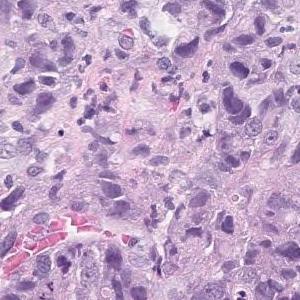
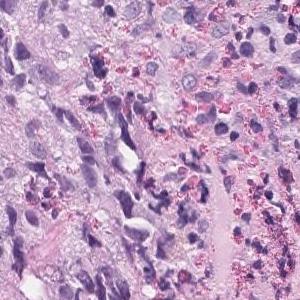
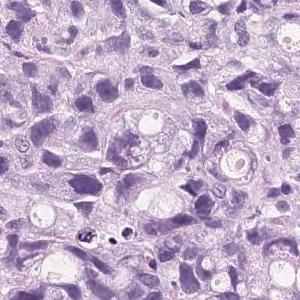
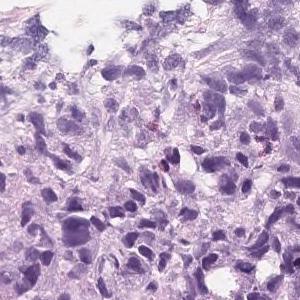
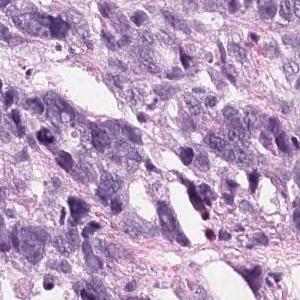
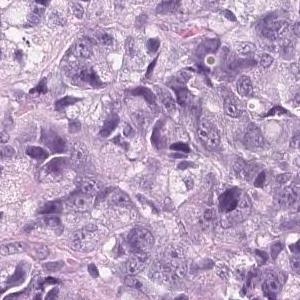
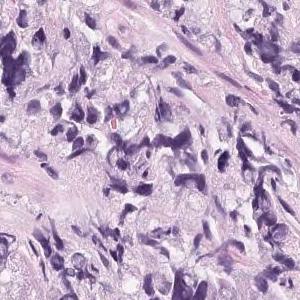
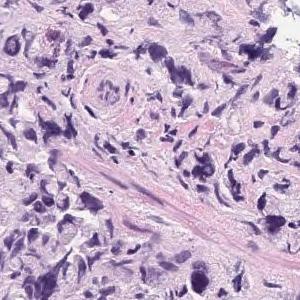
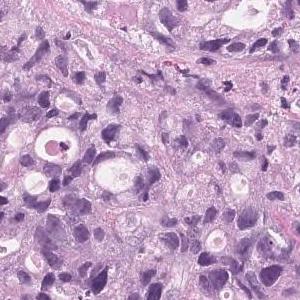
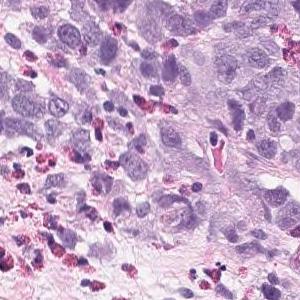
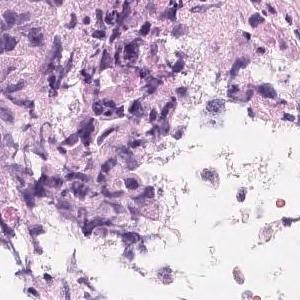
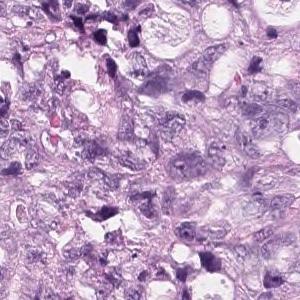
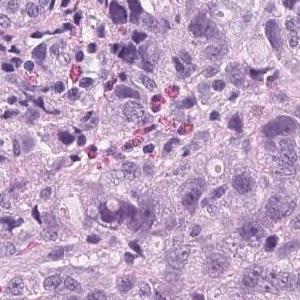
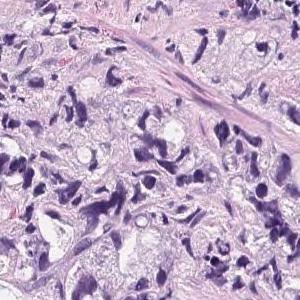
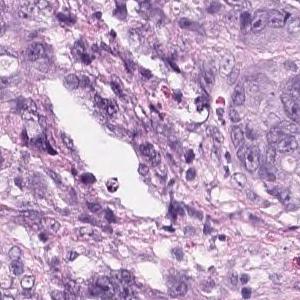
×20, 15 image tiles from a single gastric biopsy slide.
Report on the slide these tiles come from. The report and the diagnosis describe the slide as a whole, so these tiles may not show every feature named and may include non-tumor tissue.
Tumor tissue that infiltrates and proliferates by forming small glandular cavities in the superficial layer to the submucosa or forming a mass is observed. moderately differentiated tubular adenocarcinoma
